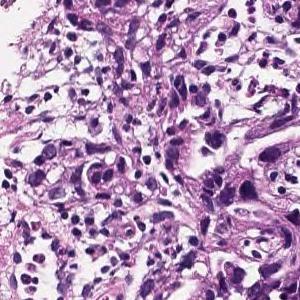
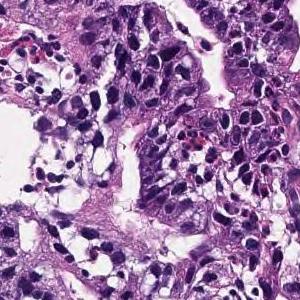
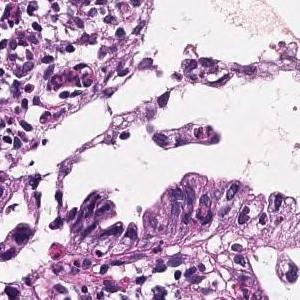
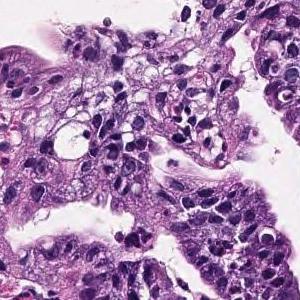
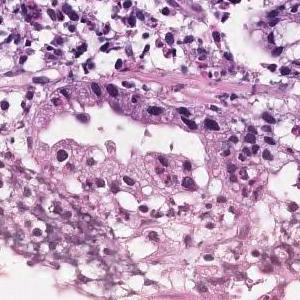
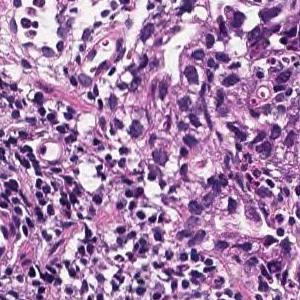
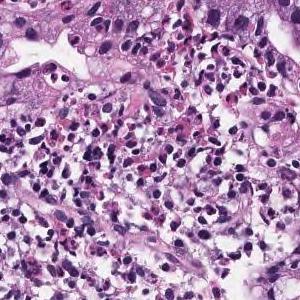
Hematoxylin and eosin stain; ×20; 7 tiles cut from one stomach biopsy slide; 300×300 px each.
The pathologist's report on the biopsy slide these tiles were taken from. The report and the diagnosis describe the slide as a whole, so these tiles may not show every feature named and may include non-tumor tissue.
In the superficial epithelium, tumor tissue that invades by forming medium-sized to small, irregular ducts is observed. moderately differentiated tubular adenocarcinoma.
